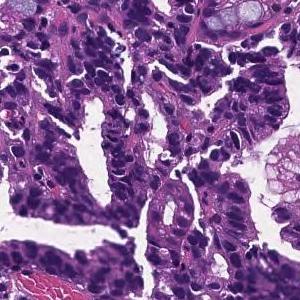
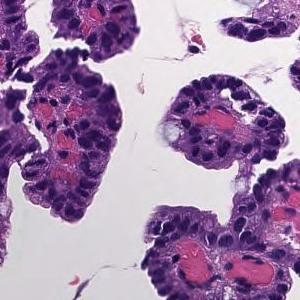
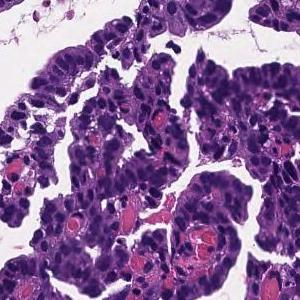
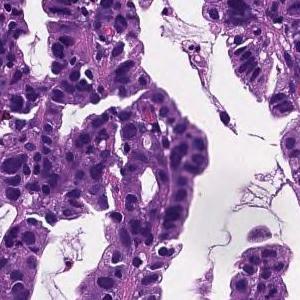
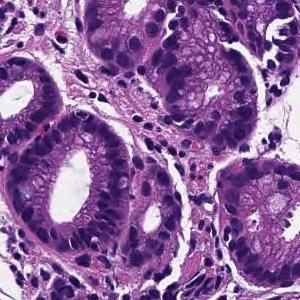
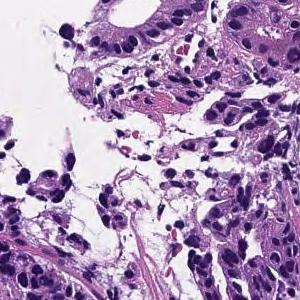
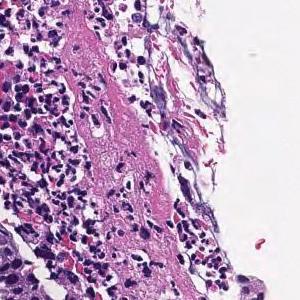
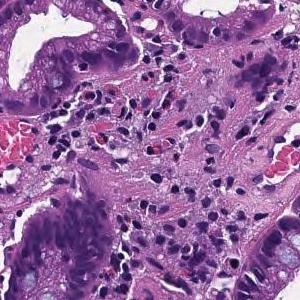
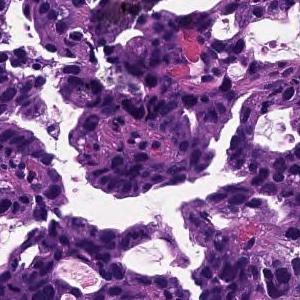
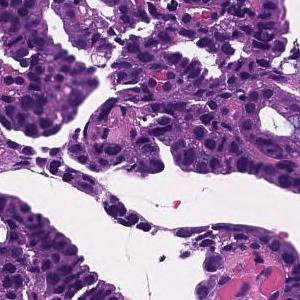
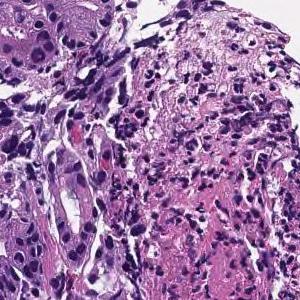
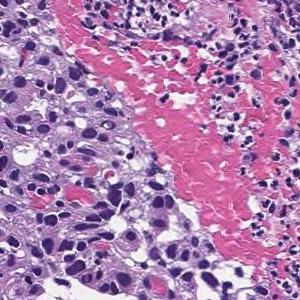
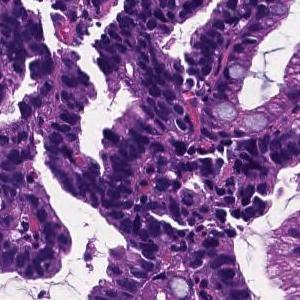
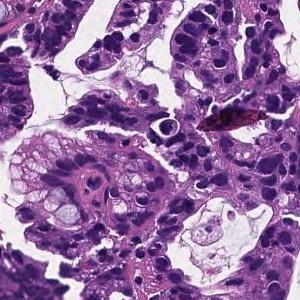
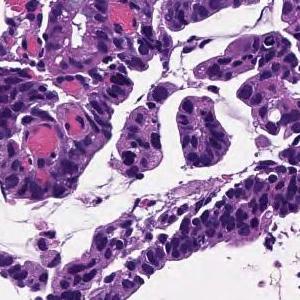
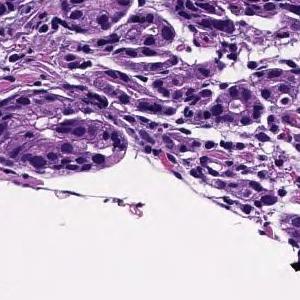
H&E stain · 16 image tiles from a single gastric biopsy slide · 300 × 300 pixels each.
The pathologist's report on the biopsy slide these tiles were taken from. What the report and the diagnosis say applies to the whole slide; these tiles may miss some of the features named and may include tissue that is not tumor.
Tumor cells are large, highly columnar, large club-shaped nuclei, and are associated with chromatin aggregation. Papillary adenocarcinoma.
